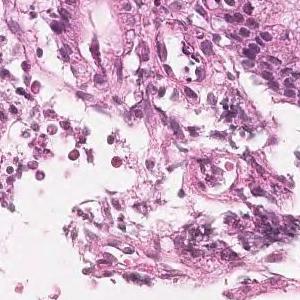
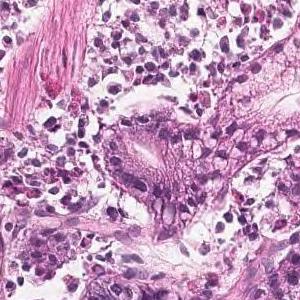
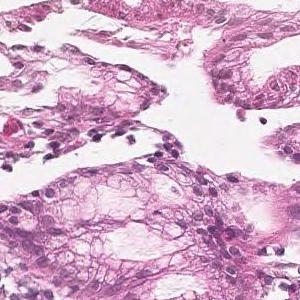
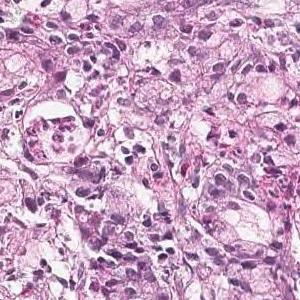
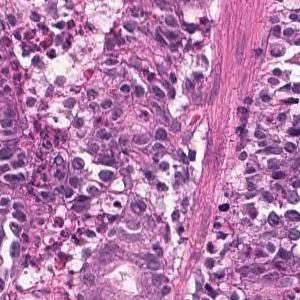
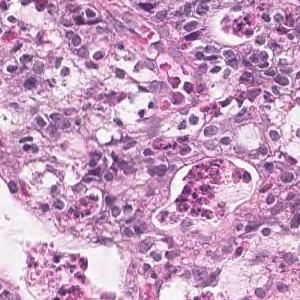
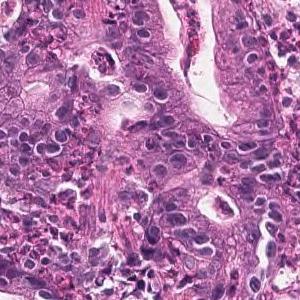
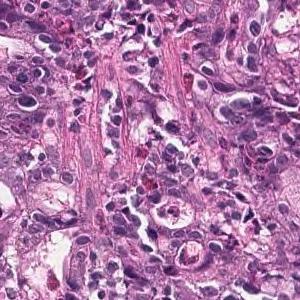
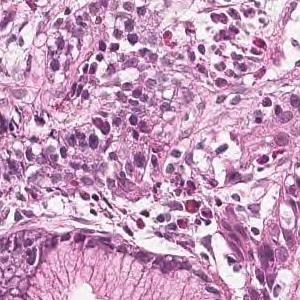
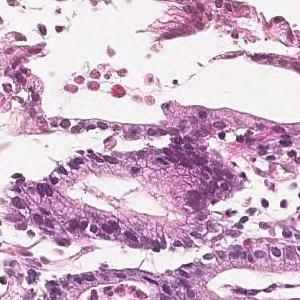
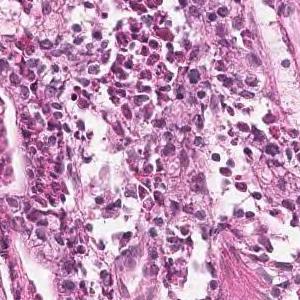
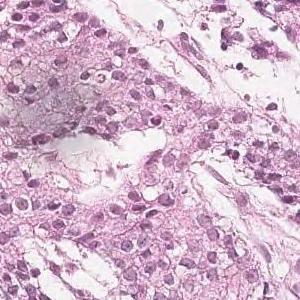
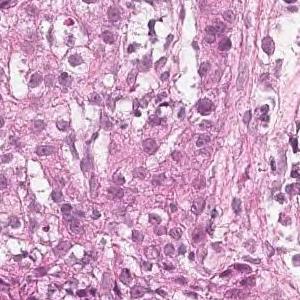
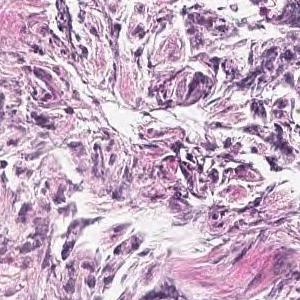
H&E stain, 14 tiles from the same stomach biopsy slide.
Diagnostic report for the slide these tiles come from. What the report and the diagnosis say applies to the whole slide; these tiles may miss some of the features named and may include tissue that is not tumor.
Tumor tissue consisting of medium-sized, cord-like or irregular glandular infiltration is observed in the superficial epithelium. Poorly differentiated adenocarcinoma, non-solid type or moderately differentiated tubular adenocarcinoma
The non-solid type named here is a Japanese Classification of Gastric Carcinoma category.
